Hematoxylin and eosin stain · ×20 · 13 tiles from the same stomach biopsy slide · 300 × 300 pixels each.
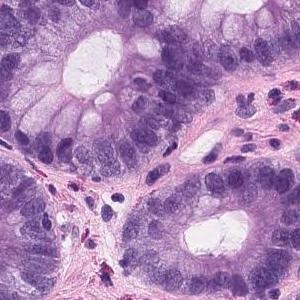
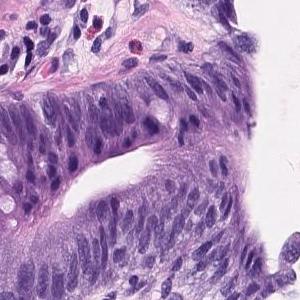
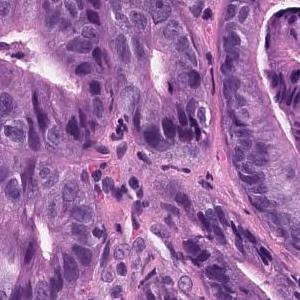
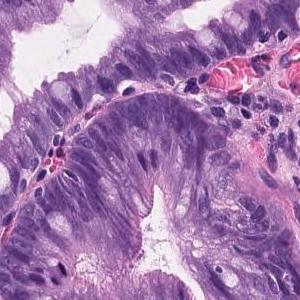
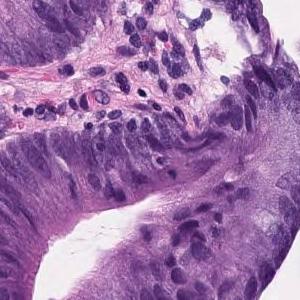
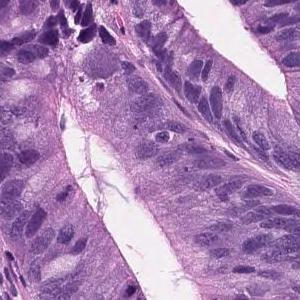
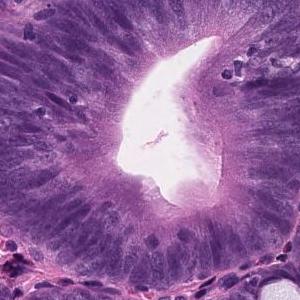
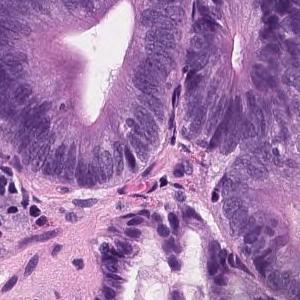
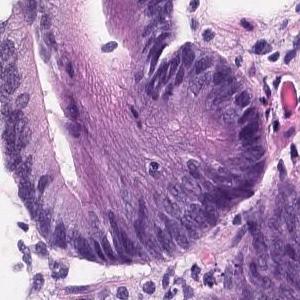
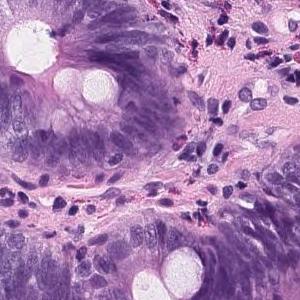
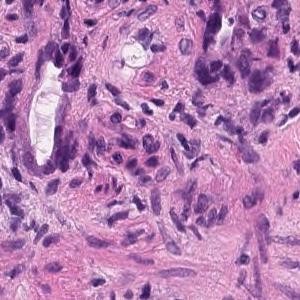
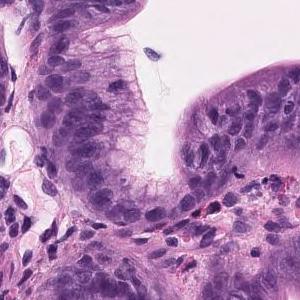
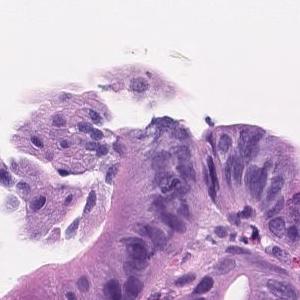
The pathologist's report on the biopsy slide these tiles were taken from. The report and the diagnosis describe the slide as a whole, so these tiles may not show every feature named and may include non-tumor tissue.
On the superficial epithelium, tumor tissue with densely growing medium to large, round tubules is observed. Tumor cells are highly columnar, with nuclei aligned basolaterally and polarized. Well differentiated tubular adenocarcinoma
